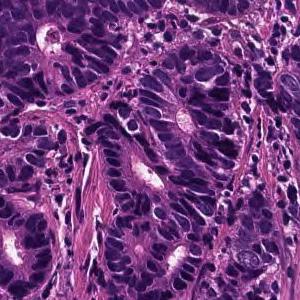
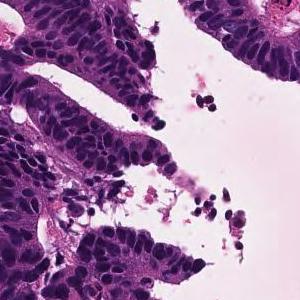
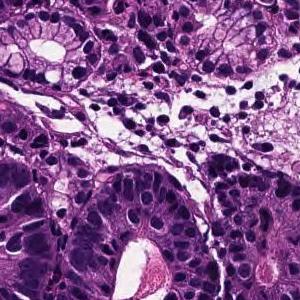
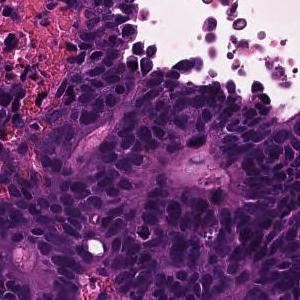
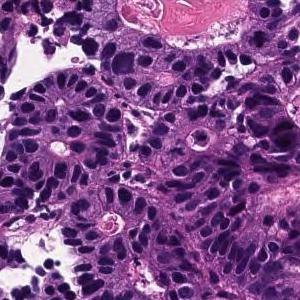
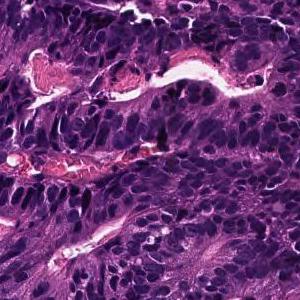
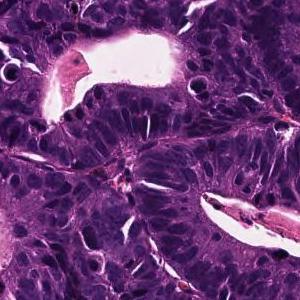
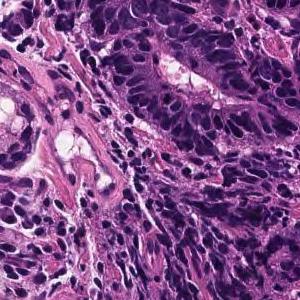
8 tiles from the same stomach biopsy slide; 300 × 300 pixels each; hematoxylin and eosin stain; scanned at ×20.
Diagnostic report for the slide these tiles come from. The report and the diagnosis describe the slide as a whole, so these tiles may not show every feature named and may include non-tumor tissue.
In the superficial epithelium, tumor tissue that invades by forming medium-sized to small, irregular ducts is observed. moderately differentiated tubular adenocarcinoma.
